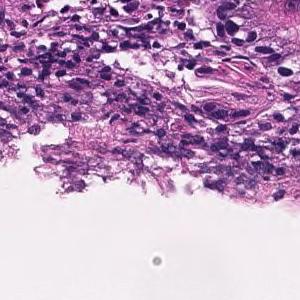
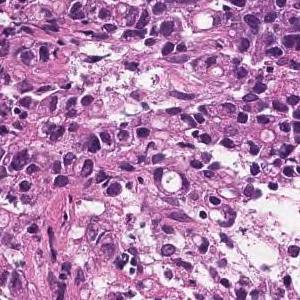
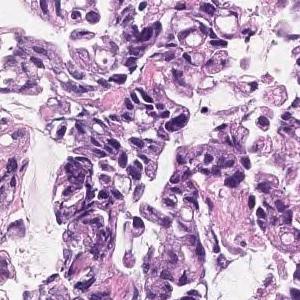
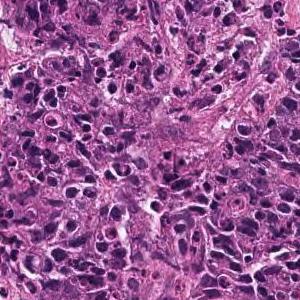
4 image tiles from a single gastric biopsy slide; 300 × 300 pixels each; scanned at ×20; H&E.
The pathologist's report on the biopsy slide these tiles were taken from. The report and the diagnosis cover the entire slide, so not every feature they name need be visible here, and some tissue shown may not be tumor.
Medium to small, irregular glandular ducts are formed in the superficial epithelium, and in some cases, the glandular ducts are fused to show solid alveolar lesions and infiltrating tumor tissue is observed. Moderately to poorly differentiated adenocarcinoma.
